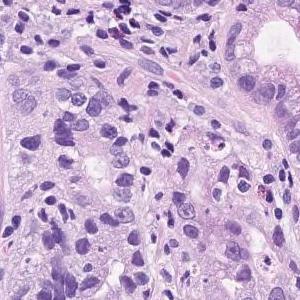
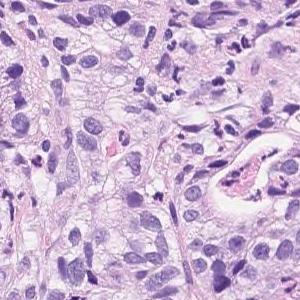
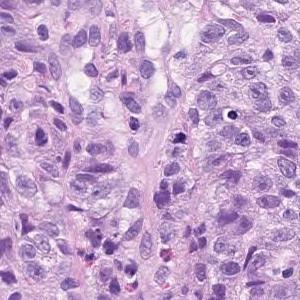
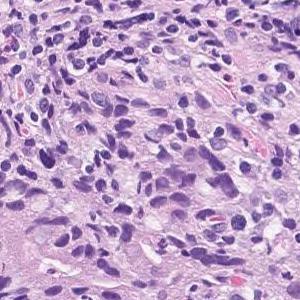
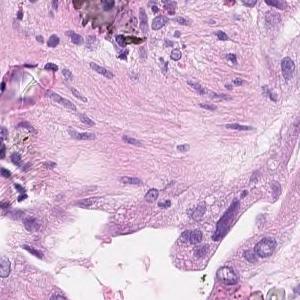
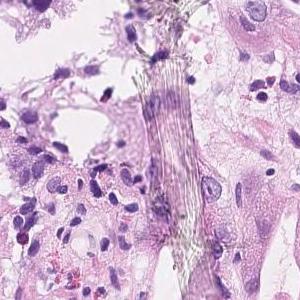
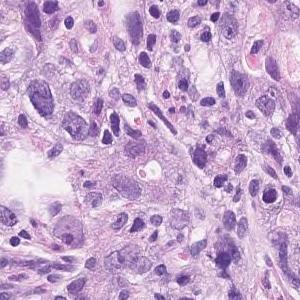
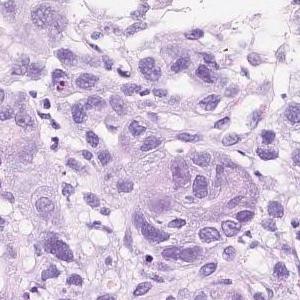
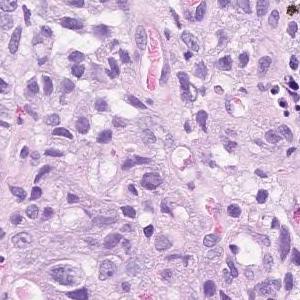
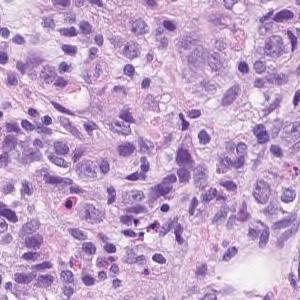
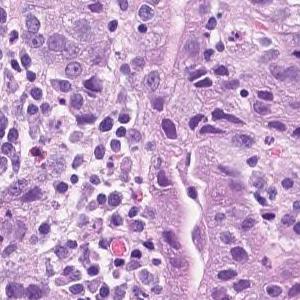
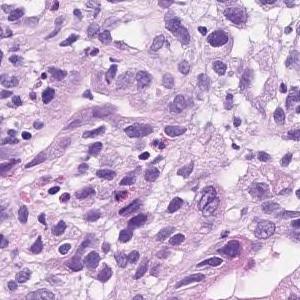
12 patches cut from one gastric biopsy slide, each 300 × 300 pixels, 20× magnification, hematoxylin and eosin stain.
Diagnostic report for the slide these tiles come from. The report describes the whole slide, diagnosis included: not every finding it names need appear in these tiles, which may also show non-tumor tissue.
In the superficial epithelium, tumor tissue that invades by forming medium-sized to small, irregular ducts is observed. Moderately to poorly differentiated adenocarcinoma
